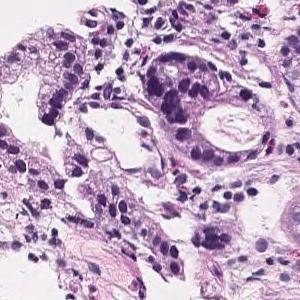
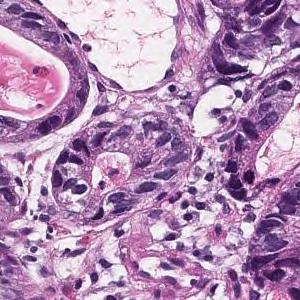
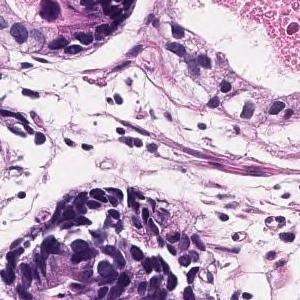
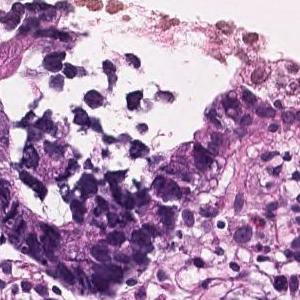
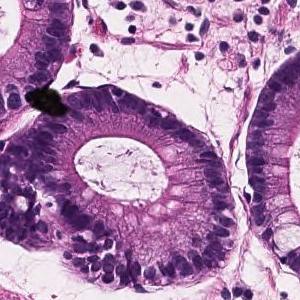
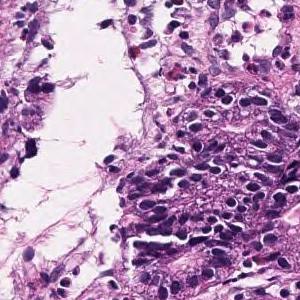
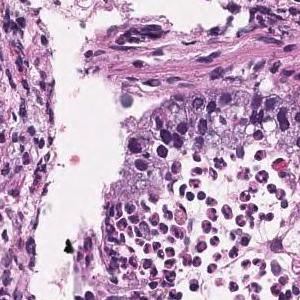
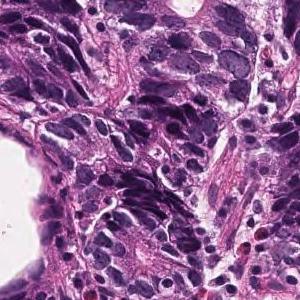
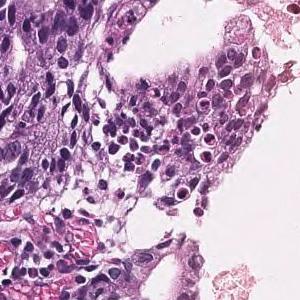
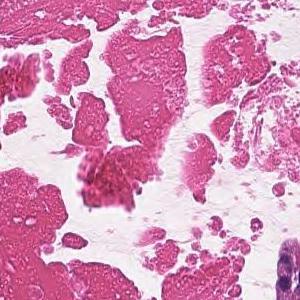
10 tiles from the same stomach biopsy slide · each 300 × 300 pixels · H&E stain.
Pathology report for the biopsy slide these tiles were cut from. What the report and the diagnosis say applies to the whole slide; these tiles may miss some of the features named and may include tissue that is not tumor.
Tumor tissue consisting of medium-sized and irregular ducts is observed infiltrating in the superficial epithelium. Tumor cells are highly columnar, with nuclei aligned basolaterally and polarized. Well differentiated tubular adenocarcinoma.
